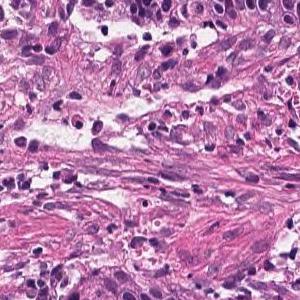
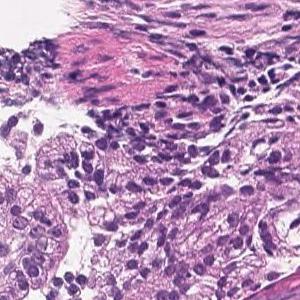
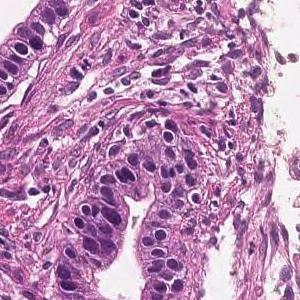
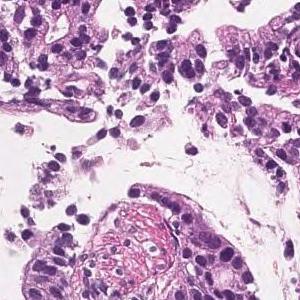
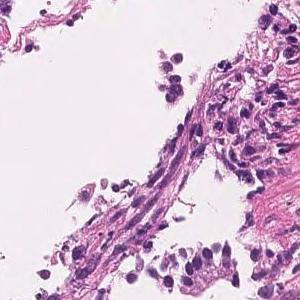
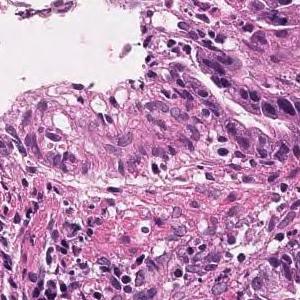
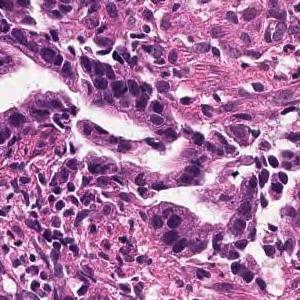
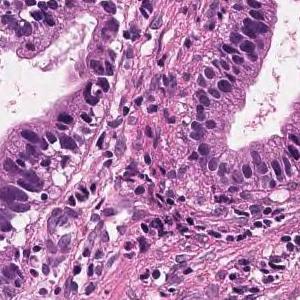
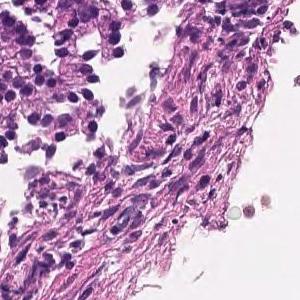
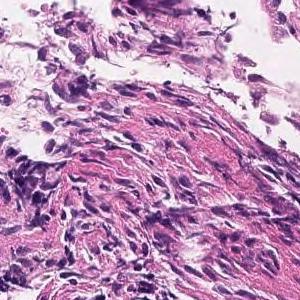
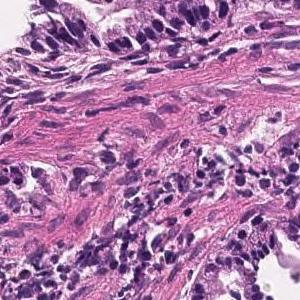
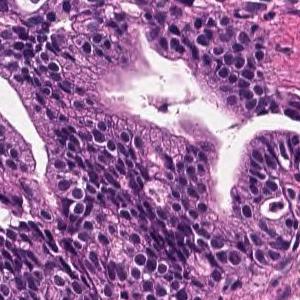
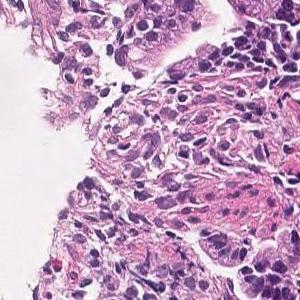
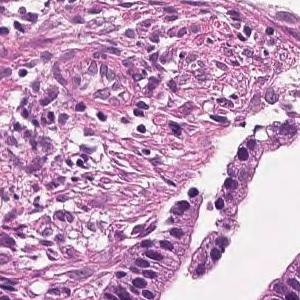
14 image tiles from a single gastric biopsy slide; ×20.
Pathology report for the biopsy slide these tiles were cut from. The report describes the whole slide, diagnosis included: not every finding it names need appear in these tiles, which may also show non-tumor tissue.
Tumor cells are large, highly columnar, large club-shaped nuclei, and are associated with chromatin aggregation. Papillary adenocarcinoma.
